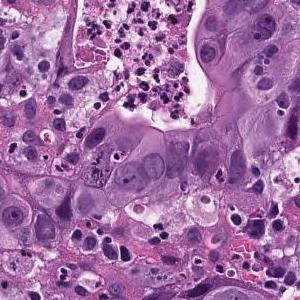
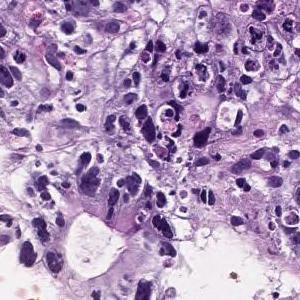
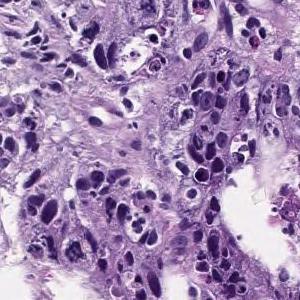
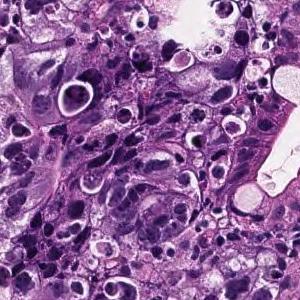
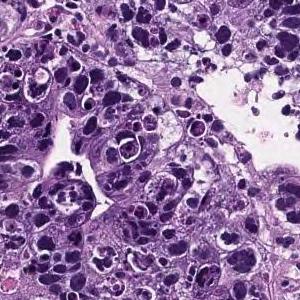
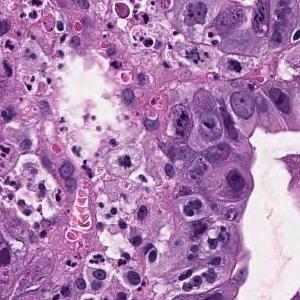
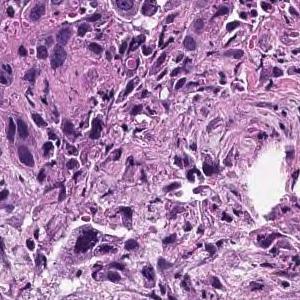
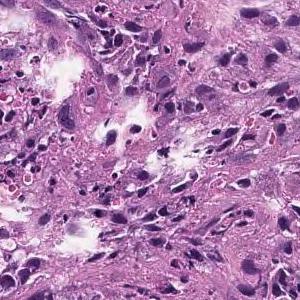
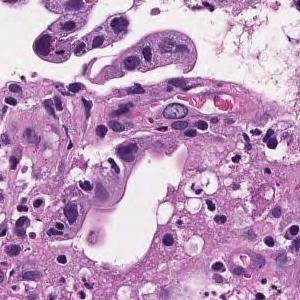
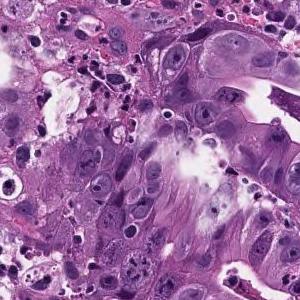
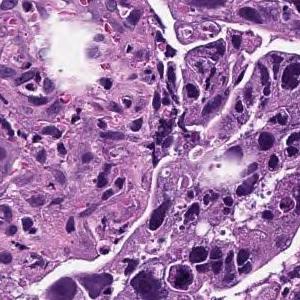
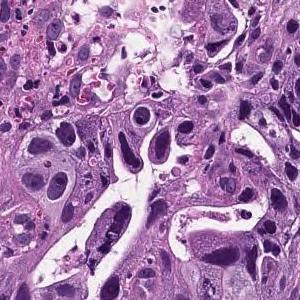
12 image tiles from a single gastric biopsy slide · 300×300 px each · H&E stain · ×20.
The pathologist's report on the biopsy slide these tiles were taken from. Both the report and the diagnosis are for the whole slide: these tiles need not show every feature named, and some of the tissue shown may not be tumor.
In the superficial epithelium, medium to small irregular gland ducts are formed, and in some cases, the ducts are fused to show solid alveolar lesions and infiltrating tumor tissue is observed. Moderately to poorly differentiated adenocarcinoma
